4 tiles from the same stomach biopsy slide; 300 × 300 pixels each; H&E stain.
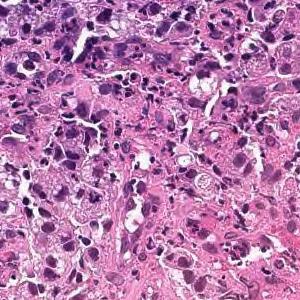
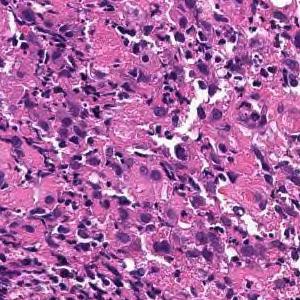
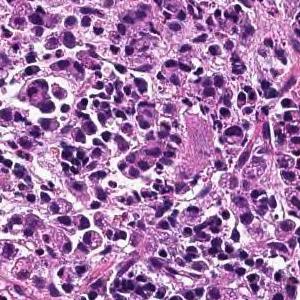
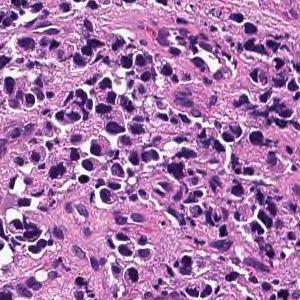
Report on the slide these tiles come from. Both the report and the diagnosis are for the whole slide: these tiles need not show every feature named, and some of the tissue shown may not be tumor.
Tumor tissue consisting of diffusely infiltrated large atypical epithelial cells or signet ring atypical cells is observed in the superficial epithelium. Poorly differentiated adenocarcinoma, solid-type
Histological subtype: Poorly differentiated adenocarcinoma, solid type, a category of the Japanese Classification of Gastric Carcinoma; in the WHO 2019 classification it is tubular adenocarcinoma, poorly differentiated.
